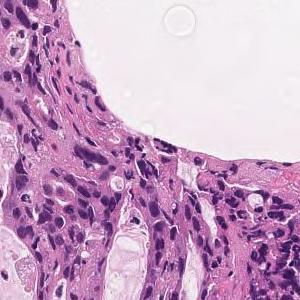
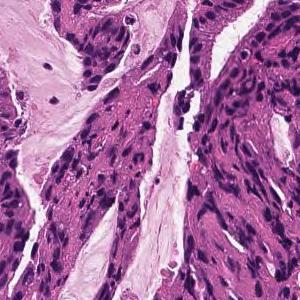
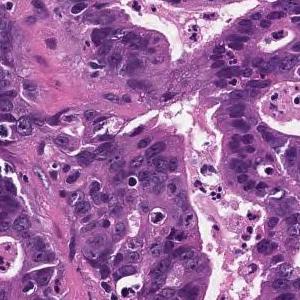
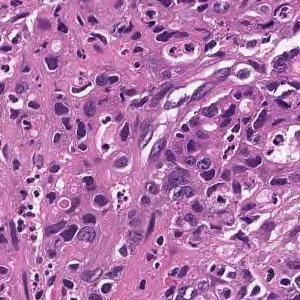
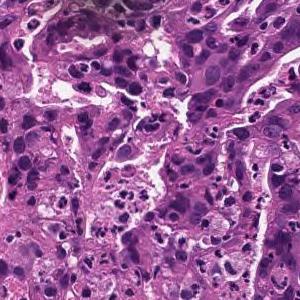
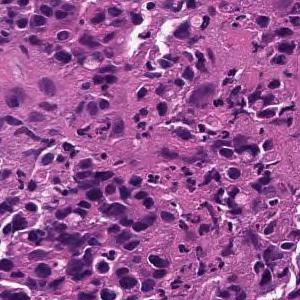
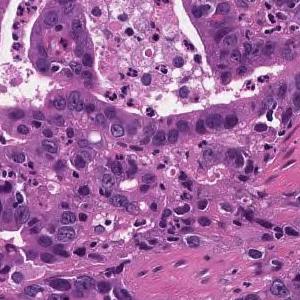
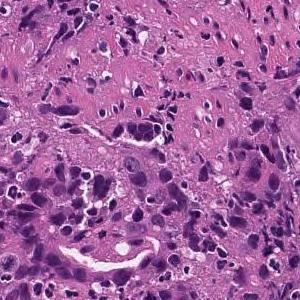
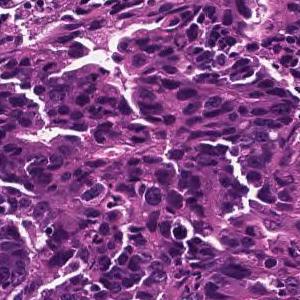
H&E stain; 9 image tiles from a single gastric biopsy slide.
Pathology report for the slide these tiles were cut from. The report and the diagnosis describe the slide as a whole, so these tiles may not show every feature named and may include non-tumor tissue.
In the superficial epithelium, tumor tissue that invades by forming medium-sized to small, irregular ducts is observed. moderately differentiated tubular adenocarcinoma.
